4 tiles from the same stomach biopsy slide · 300×300 px each · H&E stain · scanned at ×20.
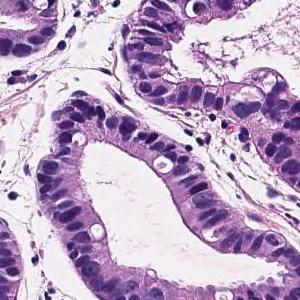
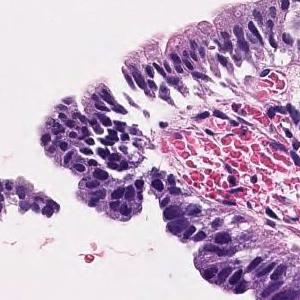
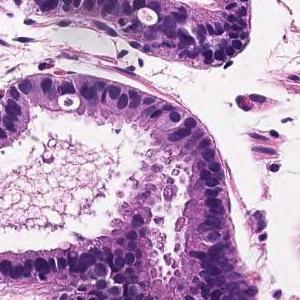
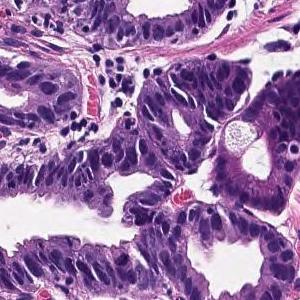
Pathology report for the slide these tiles were cut from. The report and the diagnosis describe the slide as a whole, so these tiles may not show every feature named and may include non-tumor tissue.
Tumor cells are large, highly columnar, large club-shaped nuclei, and are associated with chromatin aggregation. Papillary adenocarcinoma.
